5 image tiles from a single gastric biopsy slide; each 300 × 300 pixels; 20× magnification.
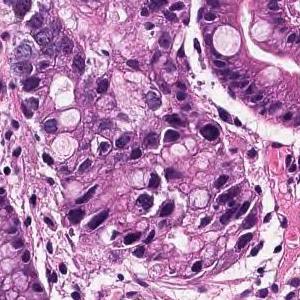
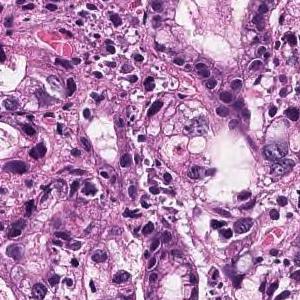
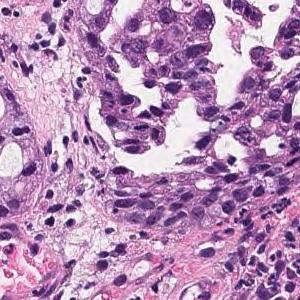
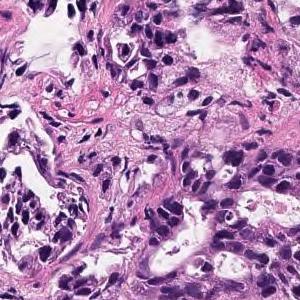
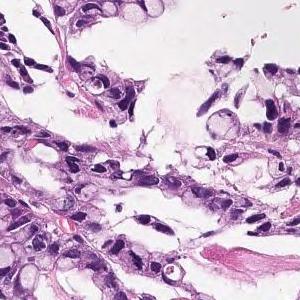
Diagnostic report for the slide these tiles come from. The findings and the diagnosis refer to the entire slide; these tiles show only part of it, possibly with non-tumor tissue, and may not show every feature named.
In the superficial epithelium, tumor tissue that invades by forming medium-sized to small, irregular ducts is observed. Moderately differentiated adenocarcinoma.
Histologic type: Moderately differentiated tubular adenocarcinoma.
